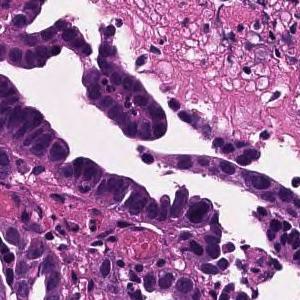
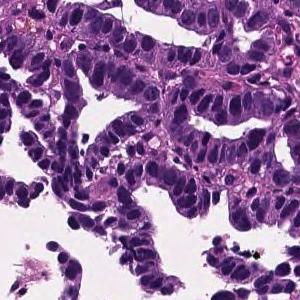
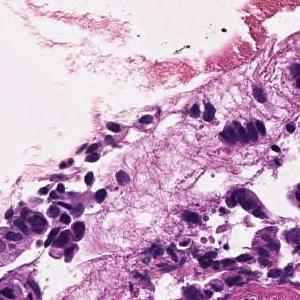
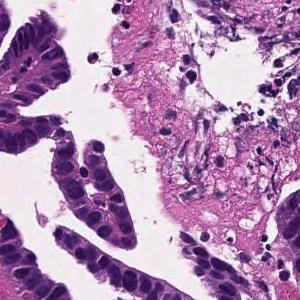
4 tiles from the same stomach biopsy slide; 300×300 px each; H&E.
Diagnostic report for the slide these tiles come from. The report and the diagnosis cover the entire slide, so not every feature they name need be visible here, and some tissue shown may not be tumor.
Tumor cells are large, highly columnar, large club-shaped nuclei, and are associated with chromatin aggregation. Papillary adenocarcinoma.
